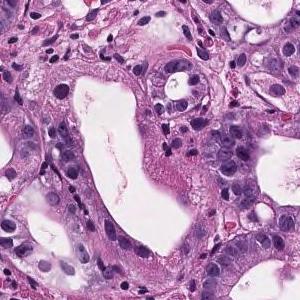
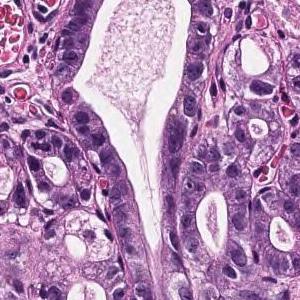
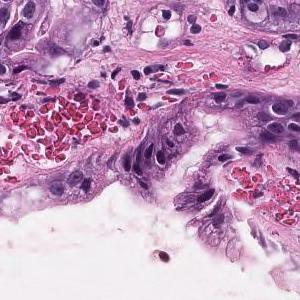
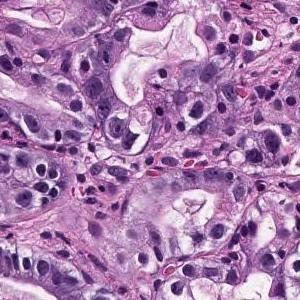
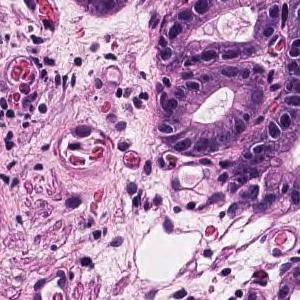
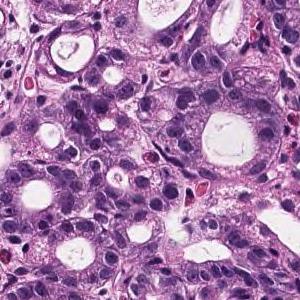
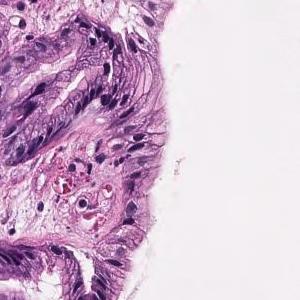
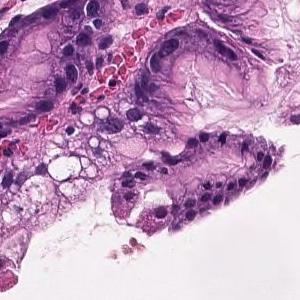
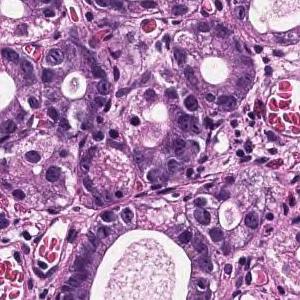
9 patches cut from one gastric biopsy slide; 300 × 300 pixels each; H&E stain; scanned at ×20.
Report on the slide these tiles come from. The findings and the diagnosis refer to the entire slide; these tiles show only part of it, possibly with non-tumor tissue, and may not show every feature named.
On the superficial epithelium, tumor tissue that infiltrates by forming medium-sized round or small irregular ducts is observed. Papillary adenocarcinoma
